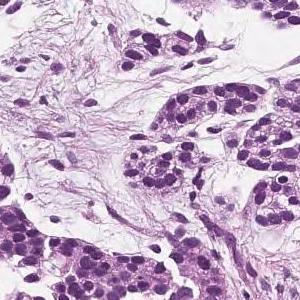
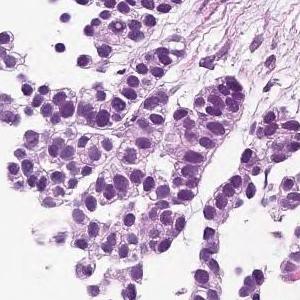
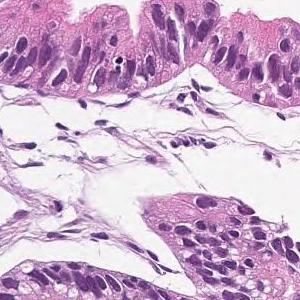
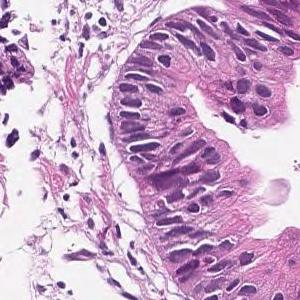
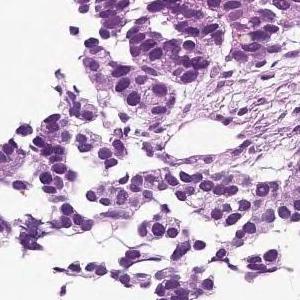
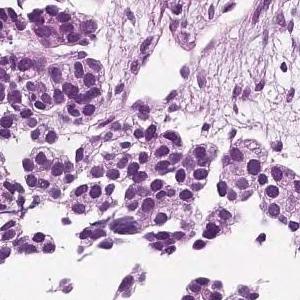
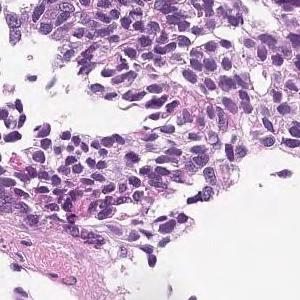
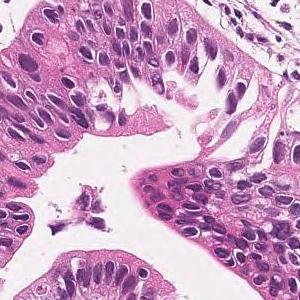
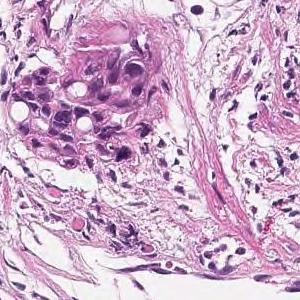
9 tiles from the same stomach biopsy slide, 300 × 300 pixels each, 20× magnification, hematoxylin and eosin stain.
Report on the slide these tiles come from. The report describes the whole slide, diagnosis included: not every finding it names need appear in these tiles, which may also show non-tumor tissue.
Medium to small, irregular glandular ducts are formed in the superficial epithelium, and in some cases, the glandular ducts are fused to show solid alveolar lesions and infiltrating tumor tissue is observed. Moderately to poorly differentiated adenocarcinoma.
